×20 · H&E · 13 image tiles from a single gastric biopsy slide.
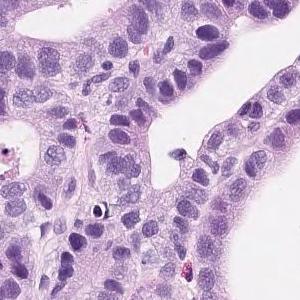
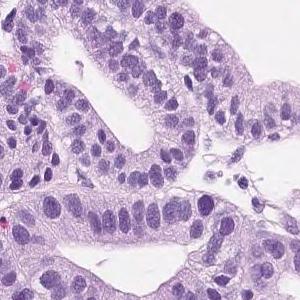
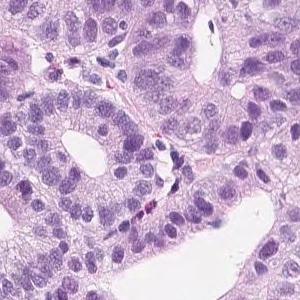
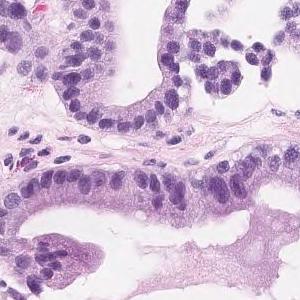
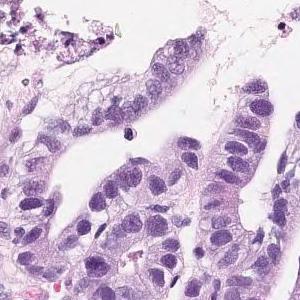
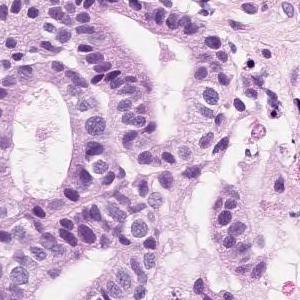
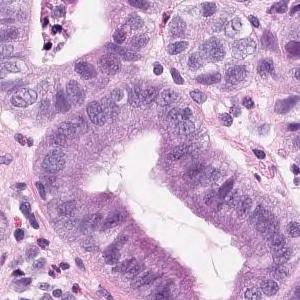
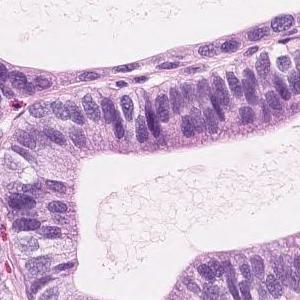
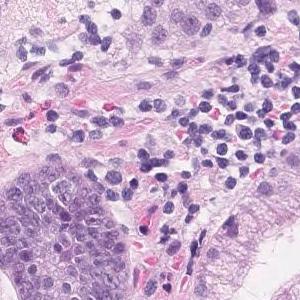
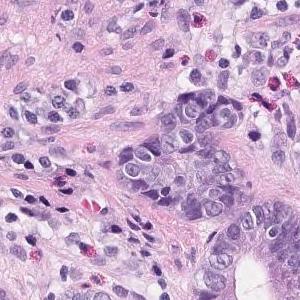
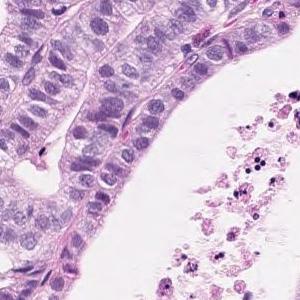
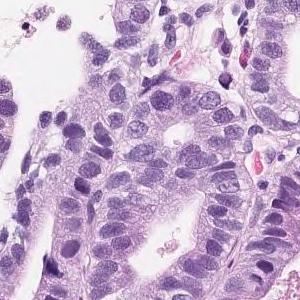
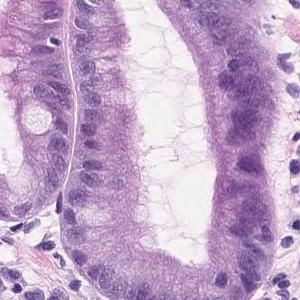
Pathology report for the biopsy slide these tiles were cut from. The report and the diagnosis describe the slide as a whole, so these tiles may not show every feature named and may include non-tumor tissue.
Short atypical epithelium with swelling of the nucleus shows proliferating, large and small irregular ductal structures. Well to moderately differentiated tubular adenocarcinoma (well differentiated tubular adenocarcinoma-moderately differentiated tubular adenocarcinoma)
Tumor subtype: well to moderately differentiated tubular adenocarcinoma.
